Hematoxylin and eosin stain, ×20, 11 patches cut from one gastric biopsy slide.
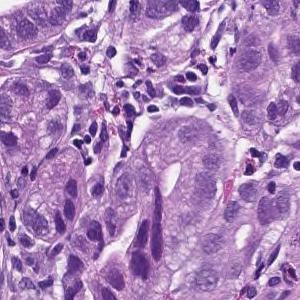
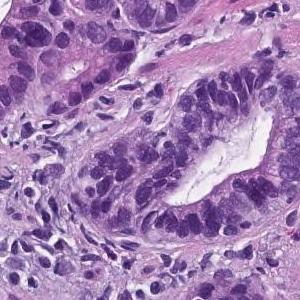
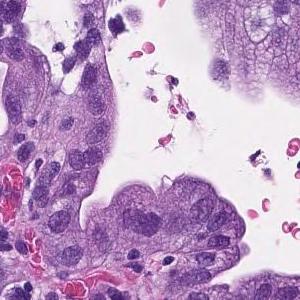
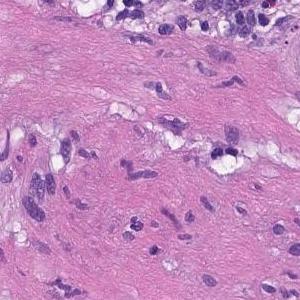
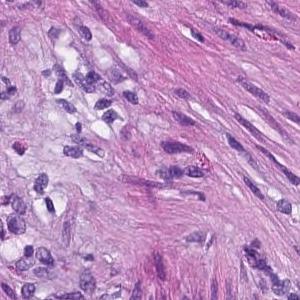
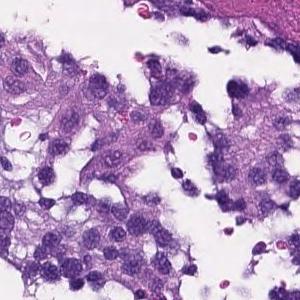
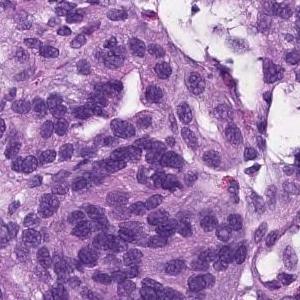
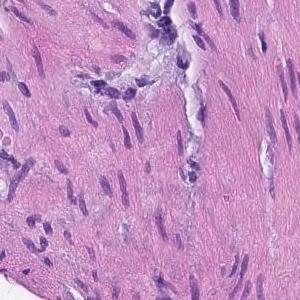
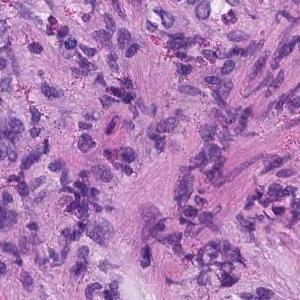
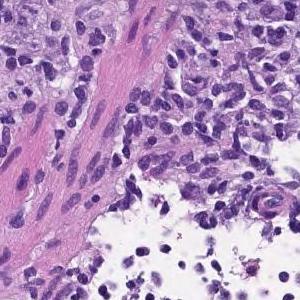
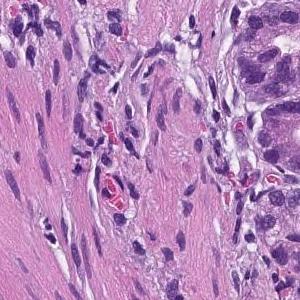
Report on the slide these tiles come from. What the report and the diagnosis say applies to the whole slide; these tiles may miss some of the features named and may include tissue that is not tumor.
From the superficial epithelium to the muscularis mucosae, tumor tissue consisting of medium-sized and irregular glandular ducts infiltrating is observed. Well differentiated tubular adenocarcinoma
